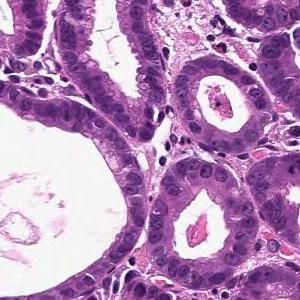
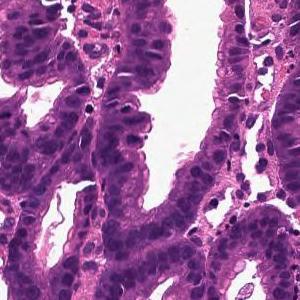
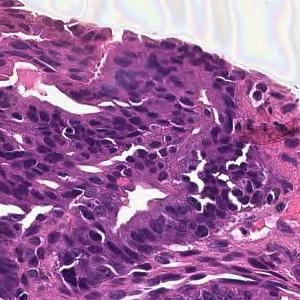
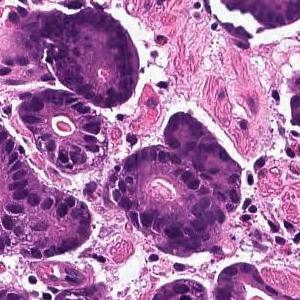
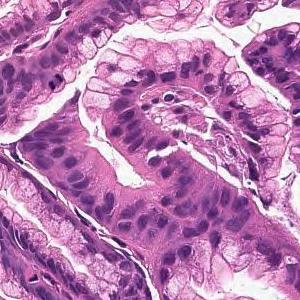
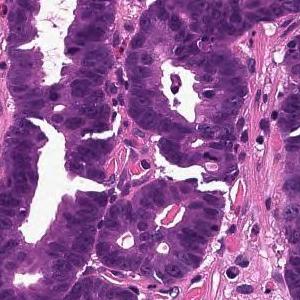
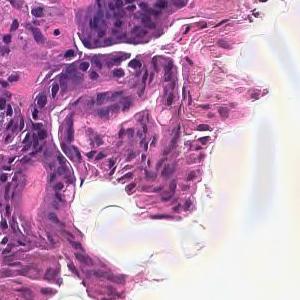
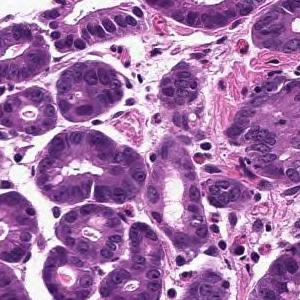
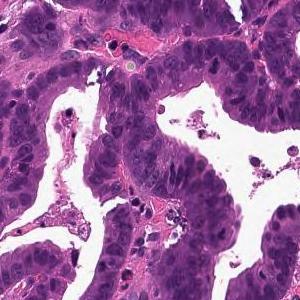
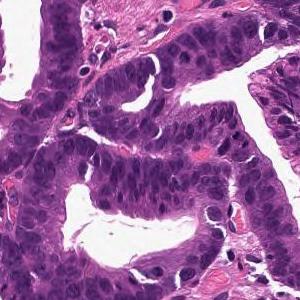
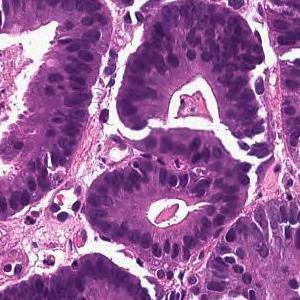
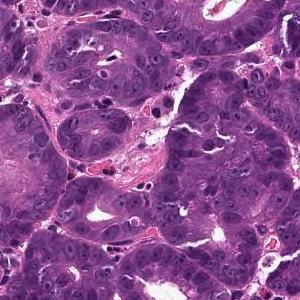
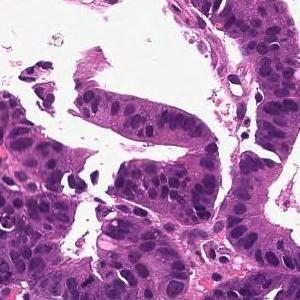
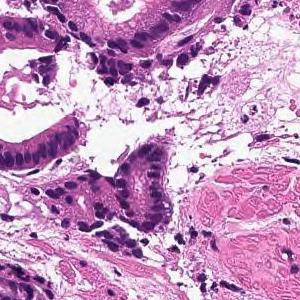
14 tiles from the same stomach biopsy slide · 300 × 300 pixels each · scanned at ×20 · H&E.
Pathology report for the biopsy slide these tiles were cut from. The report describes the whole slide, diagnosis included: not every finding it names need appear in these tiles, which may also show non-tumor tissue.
From the superficial epithelium to the muscularis mucosae, tumor tissue consisting of medium-sized and irregular glandular ducts infiltrating is observed. Well differentiated tubular adenocarcinoma
